11 tiles from the same stomach biopsy slide; each 300 × 300 pixels; H&E; ×20.
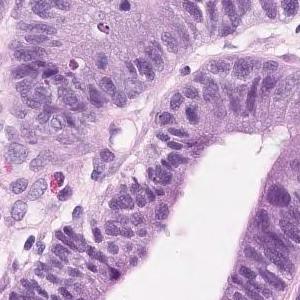
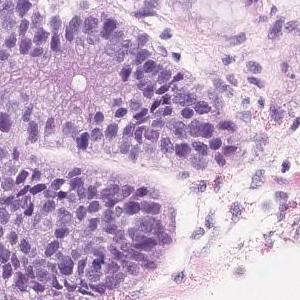
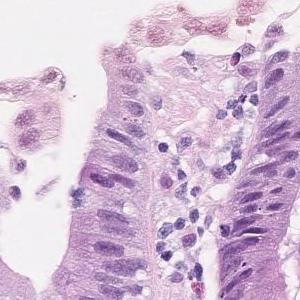
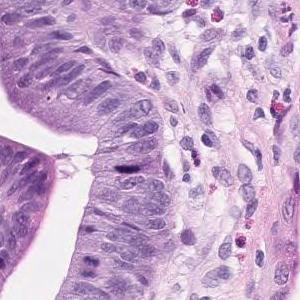
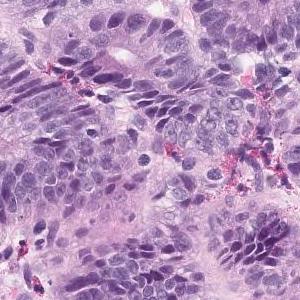
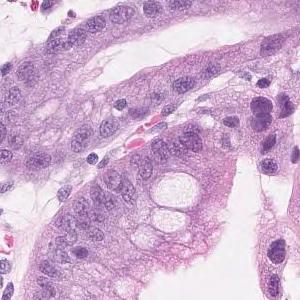
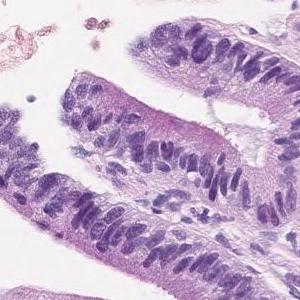
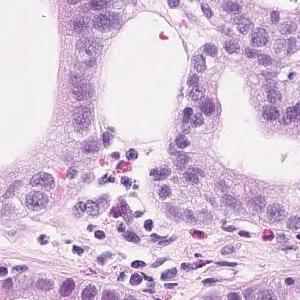
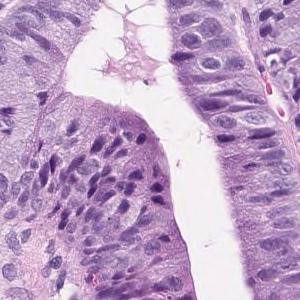
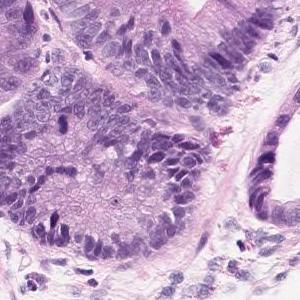
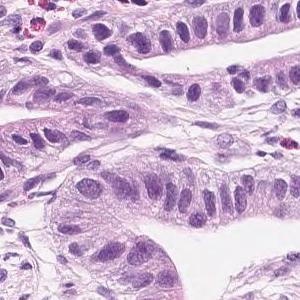
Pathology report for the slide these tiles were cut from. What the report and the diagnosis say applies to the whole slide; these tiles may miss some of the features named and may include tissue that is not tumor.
Short atypical epithelium with swelling of the nucleus shows proliferating, large and small irregular ductal structures. Well to moderately differentiated tubular adenocarcinoma (well differentiated tubular adenocarcinoma-moderately differentiated tubular adenocarcinoma)
Tumor subtype: well to moderately differentiated tubular adenocarcinoma.
